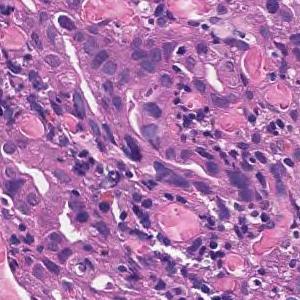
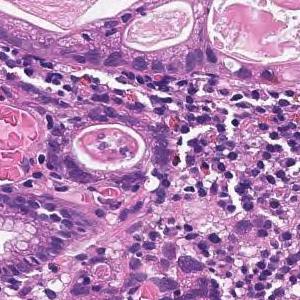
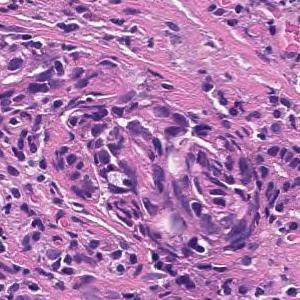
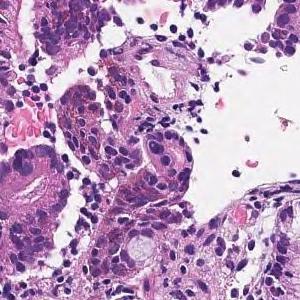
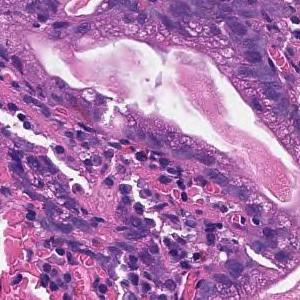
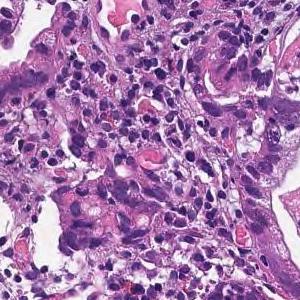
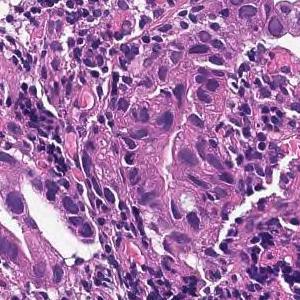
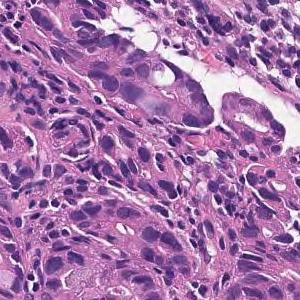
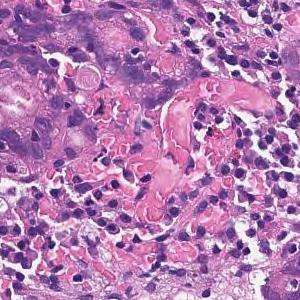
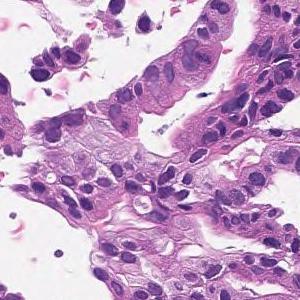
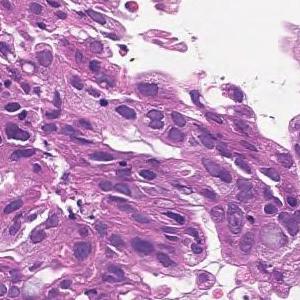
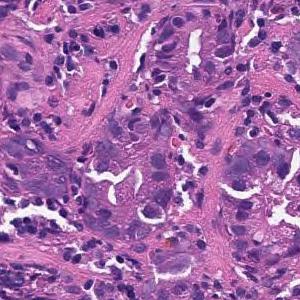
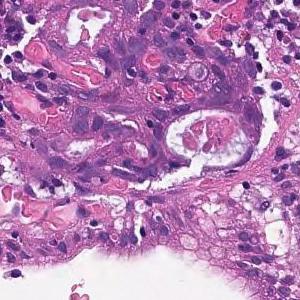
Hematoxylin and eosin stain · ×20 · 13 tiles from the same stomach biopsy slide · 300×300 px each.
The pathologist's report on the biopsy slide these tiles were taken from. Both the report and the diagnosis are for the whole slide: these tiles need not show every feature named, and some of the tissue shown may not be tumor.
In the superficial epithelium, tumor tissue that invades by forming medium-sized to small, irregular ducts is observed. moderately differentiated tubular adenocarcinoma.
